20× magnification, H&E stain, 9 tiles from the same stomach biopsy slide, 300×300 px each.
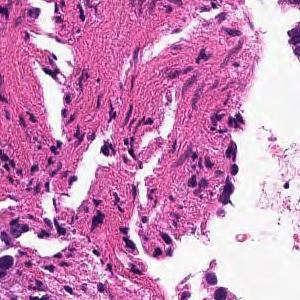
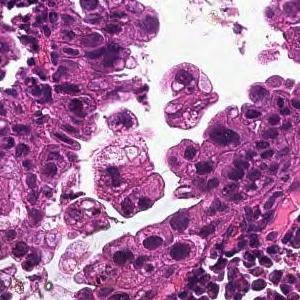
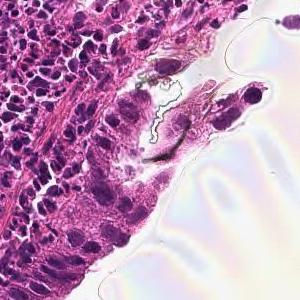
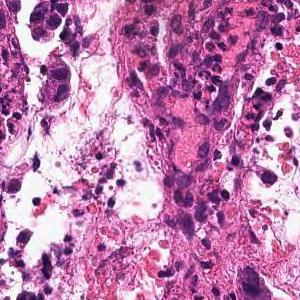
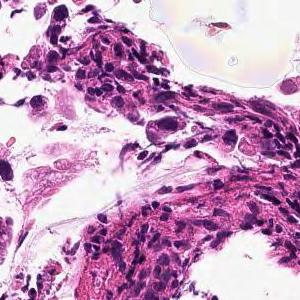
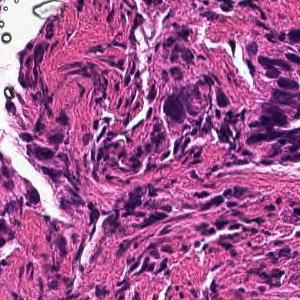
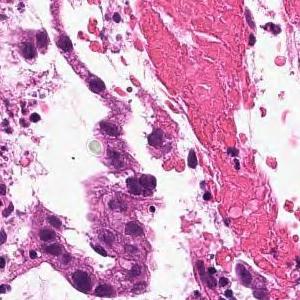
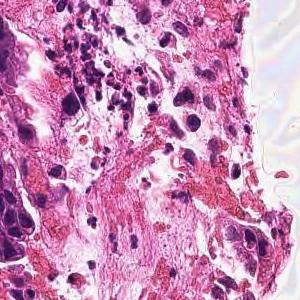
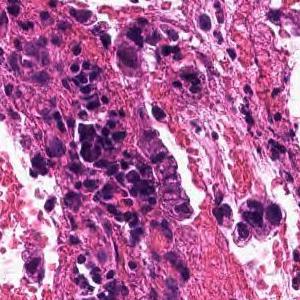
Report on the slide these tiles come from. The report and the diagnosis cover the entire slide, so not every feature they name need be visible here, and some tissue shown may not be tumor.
From the superficial epithelium to the muscularis mucosae, tumor tissue infiltrating by forming medium-sized irregular gland ducts is observed. Well differentiated tubular adenocarcinoma
